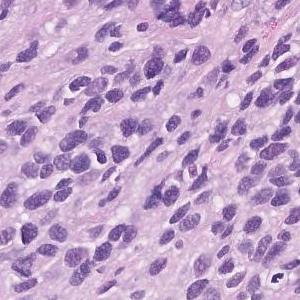
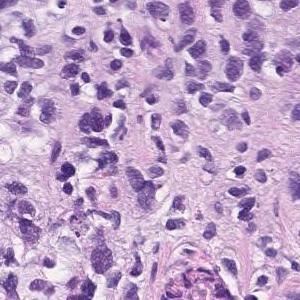
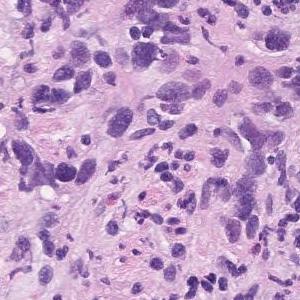
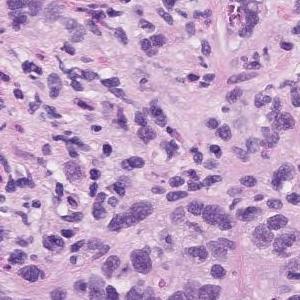
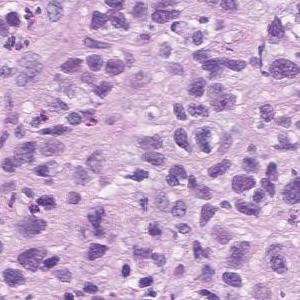
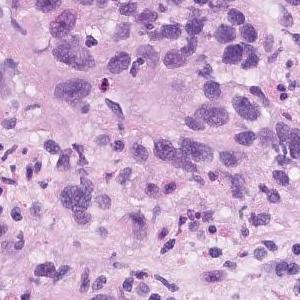
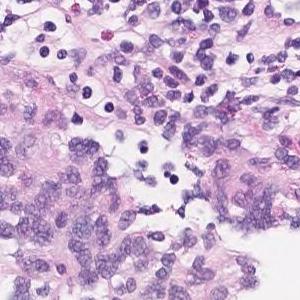
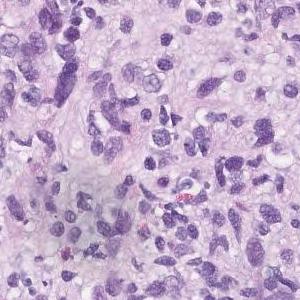
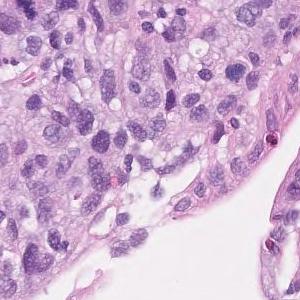
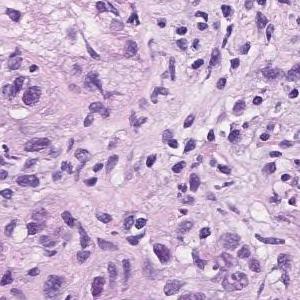
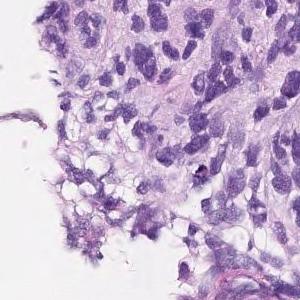
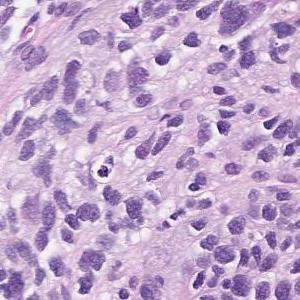
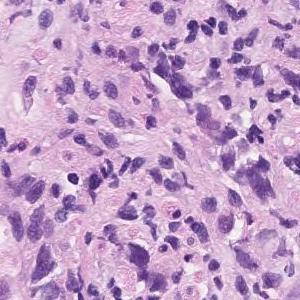
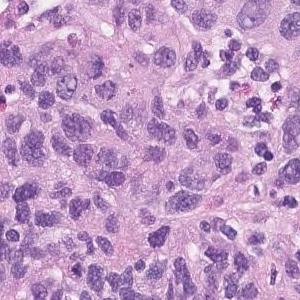
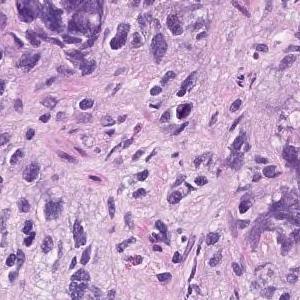
20× magnification; 15 patches cut from one gastric biopsy slide; 300 × 300 pixels each.
Report on the slide these tiles come from. The report and the diagnosis describe the slide as a whole, so these tiles may not show every feature named and may include non-tumor tissue.
Atypical l cells with atypical nuclei under the mucosa growing in isolation and scattered. Poorly differentiated adenocarcinoma (poorly differentiated adenocarcinoma, non-solid type)
Classified as poorly differentiated adenocarcinoma, non-solid type.
The non-solid type named here is a Japanese Classification of Gastric Carcinoma category.
